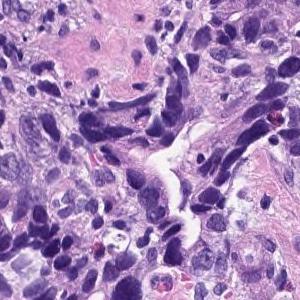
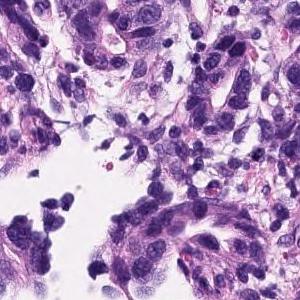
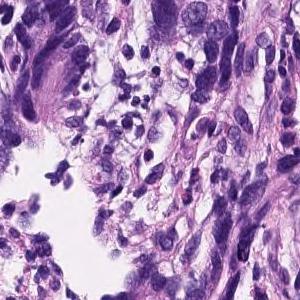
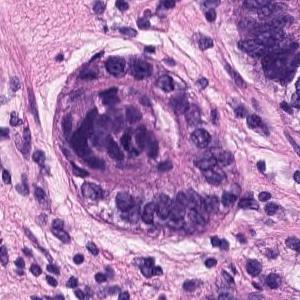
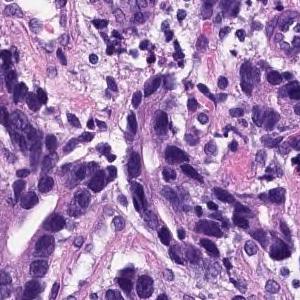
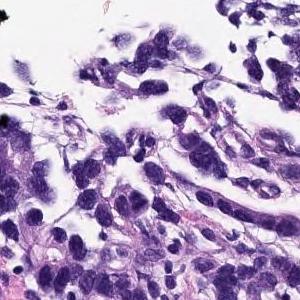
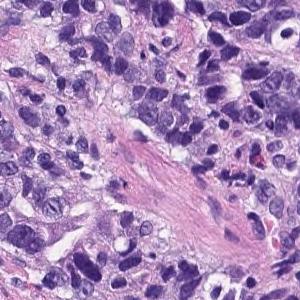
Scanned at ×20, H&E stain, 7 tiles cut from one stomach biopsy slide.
Pathology report for the biopsy slide these tiles were cut from. Both the report and the diagnosis are for the whole slide: these tiles need not show every feature named, and some of the tissue shown may not be tumor.
On the superficial epithelium, tumor tissue consisting of images showing invasive growth with small, irregular tubules partially fused is observed. moderately differentiated tubular adenocarcinoma
